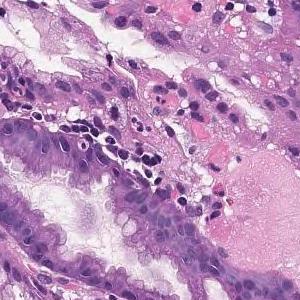
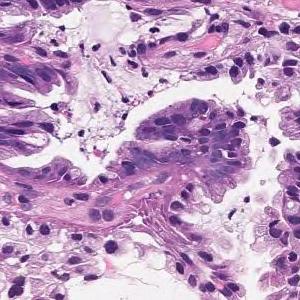
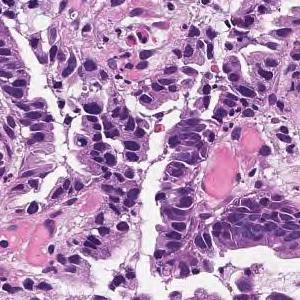
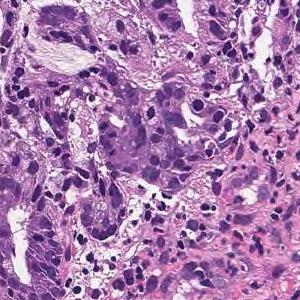
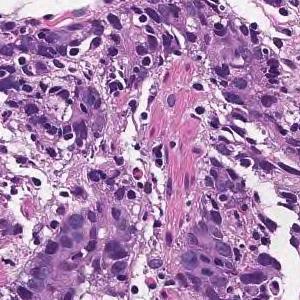
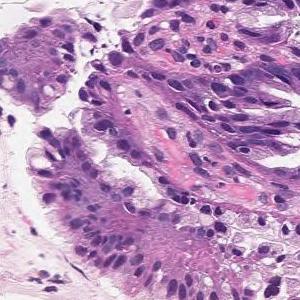
6 tiles from the same stomach biopsy slide; 300 × 300 pixels each; ×20; hematoxylin and eosin stain.
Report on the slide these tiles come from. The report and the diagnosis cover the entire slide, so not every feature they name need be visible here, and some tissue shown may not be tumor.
Tumor tissue consisting of cord-like or small, irregular glandular ducts fused and infiltrated is observed in the superficial epithelium. Poorly differentiated adenocarcinoma, non-solid type
"Non-solid type" is a category of the Japanese Classification of Gastric Carcinoma.
